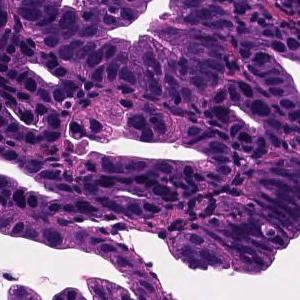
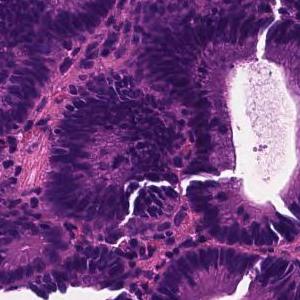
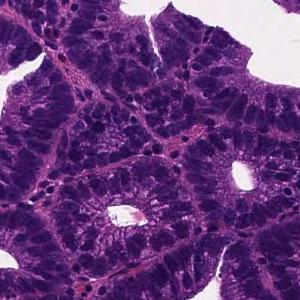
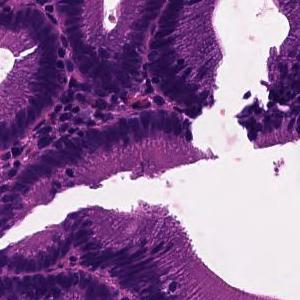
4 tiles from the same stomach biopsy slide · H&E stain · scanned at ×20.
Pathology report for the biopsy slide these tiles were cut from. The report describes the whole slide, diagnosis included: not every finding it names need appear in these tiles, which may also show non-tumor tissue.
Tumor tissue in which medium to small irregular ducts infiltrate and proliferate in the submucosa can be seen in the epithelium. Well differentiated tubular adenocarcinoma
